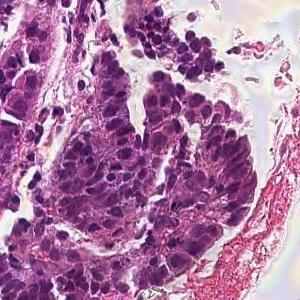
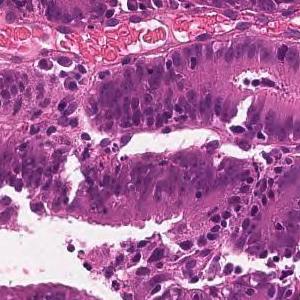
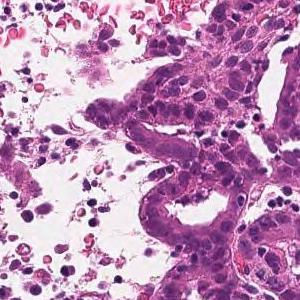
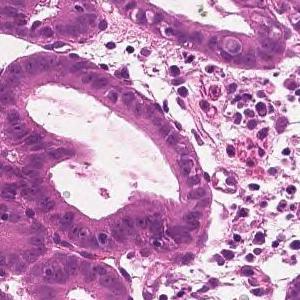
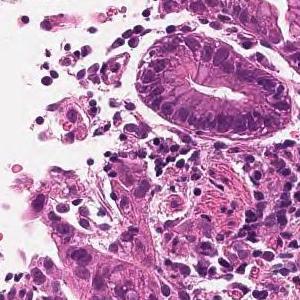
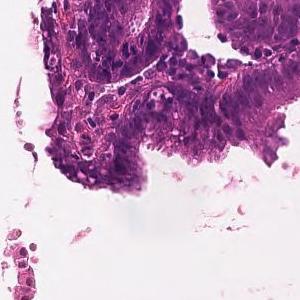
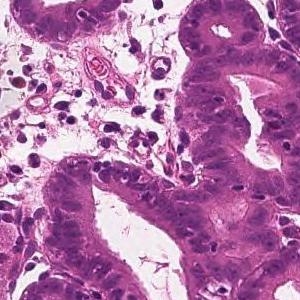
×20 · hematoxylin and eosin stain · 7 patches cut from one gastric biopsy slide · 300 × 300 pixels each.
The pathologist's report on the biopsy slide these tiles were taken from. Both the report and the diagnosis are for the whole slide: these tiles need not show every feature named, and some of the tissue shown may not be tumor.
On the superficial epithelium, tumor tissue is found in which medium-sized irregular gland ducts fuse with each other and infiltrate. moderately differentiated tubular adenocarcinoma
